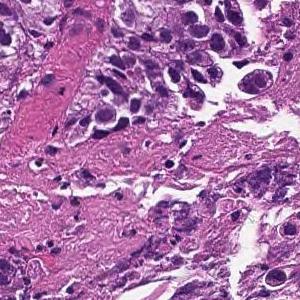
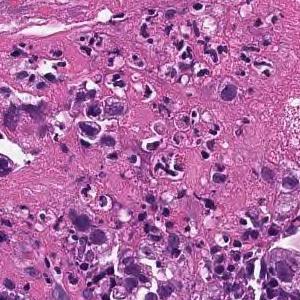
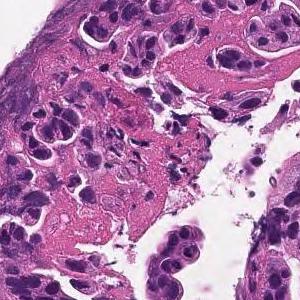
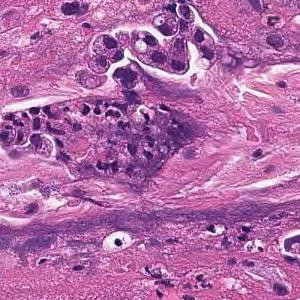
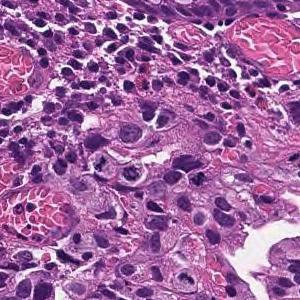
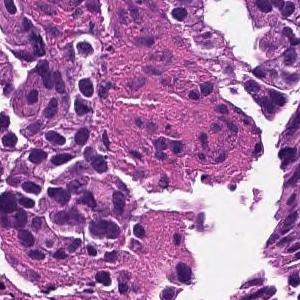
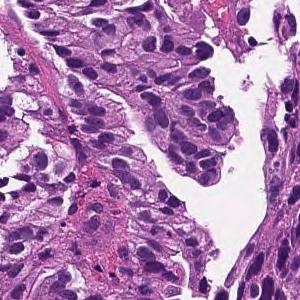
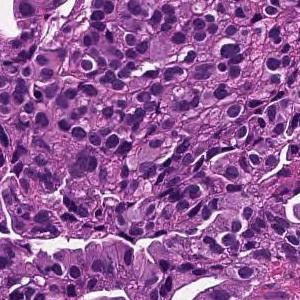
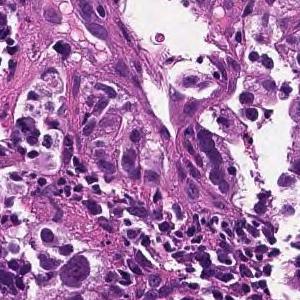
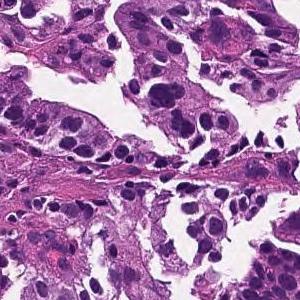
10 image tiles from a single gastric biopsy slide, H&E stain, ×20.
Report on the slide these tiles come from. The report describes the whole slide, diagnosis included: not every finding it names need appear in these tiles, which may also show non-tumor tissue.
Medium to small, irregular glandular ducts are formed in the superficial epithelium, and in some cases, the glandular ducts are fused to show solid alveolar lesions and infiltrating tumor tissue is observed. Moderately to poorly differentiated adenocarcinoma.
